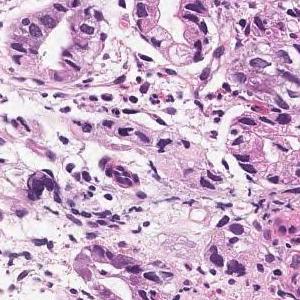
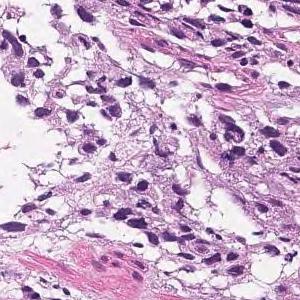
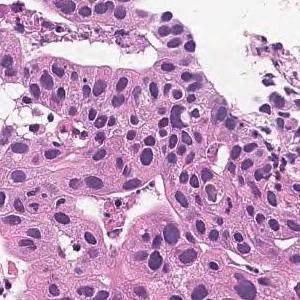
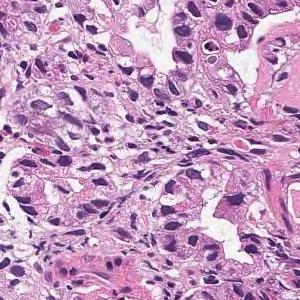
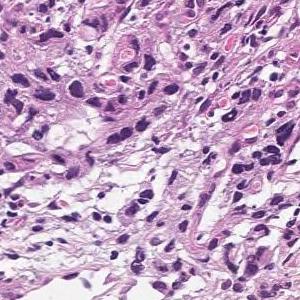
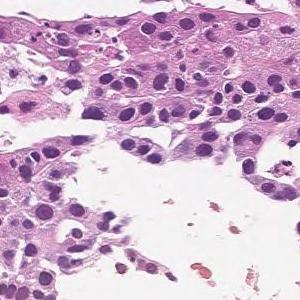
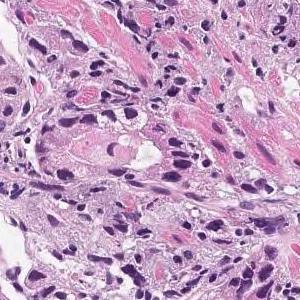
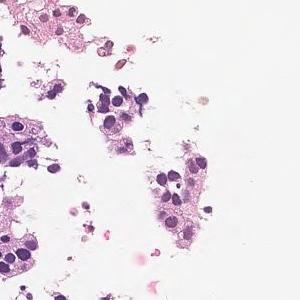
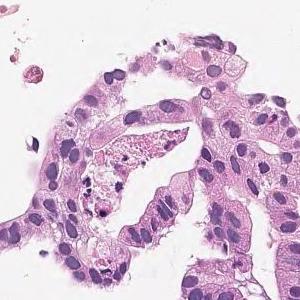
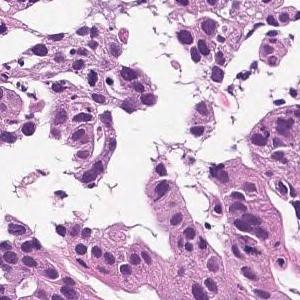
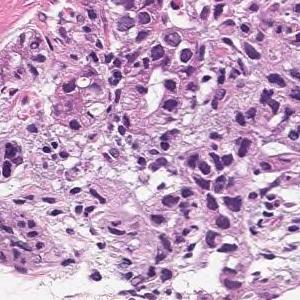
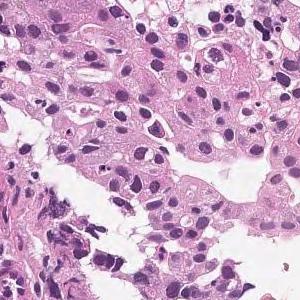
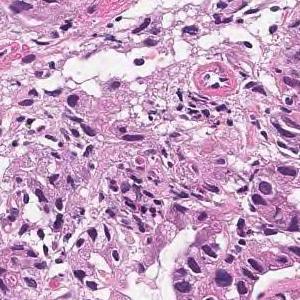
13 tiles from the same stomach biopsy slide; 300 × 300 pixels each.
Pathology report for the slide these tiles were cut from. The report describes the whole slide, diagnosis included: not every finding it names need appear in these tiles, which may also show non-tumor tissue.
Tumor tissue that grows by forming gland ducts from the surface layer to the submucosa is observed. moderately differentiated tubular adenocarcinoma
